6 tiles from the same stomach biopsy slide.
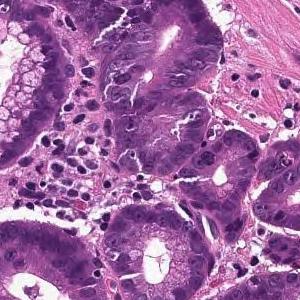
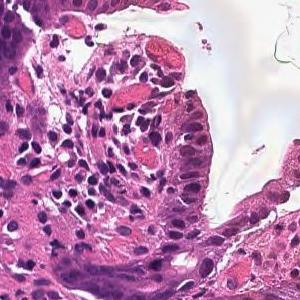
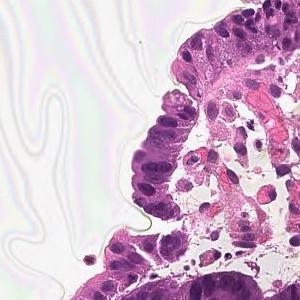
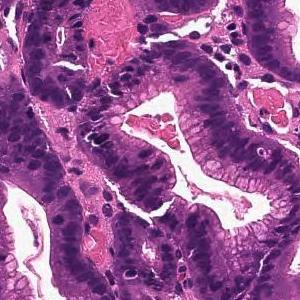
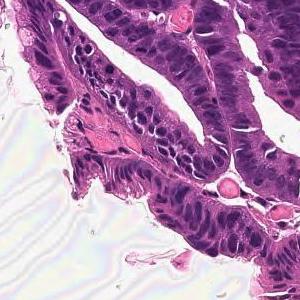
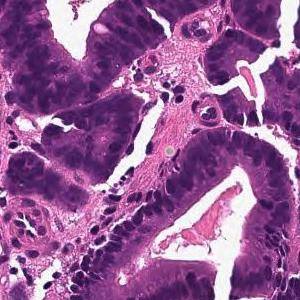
The pathologist's report on the biopsy slide these tiles were taken from. The report and the diagnosis describe the slide as a whole, so these tiles may not show every feature named and may include non-tumor tissue.
From the superficial epithelium to the muscularis mucosae, tumor tissue consisting of medium-sized and irregular glandular ducts infiltrating is observed. Well differentiated tubular adenocarcinoma
